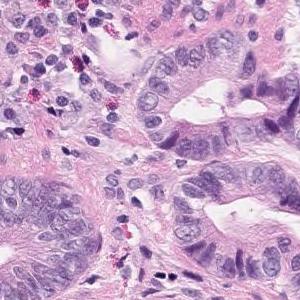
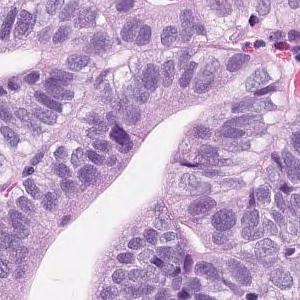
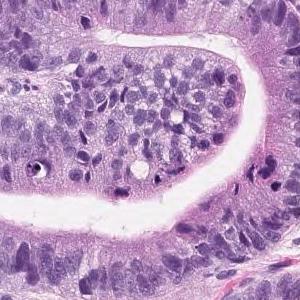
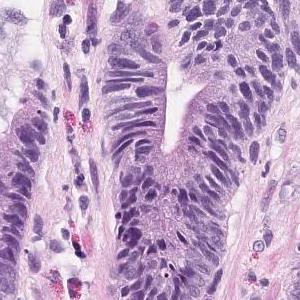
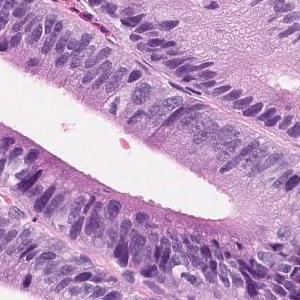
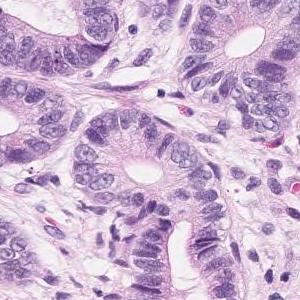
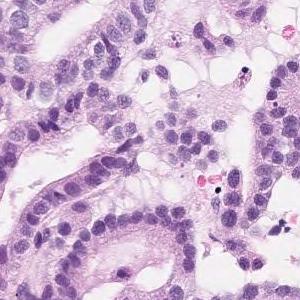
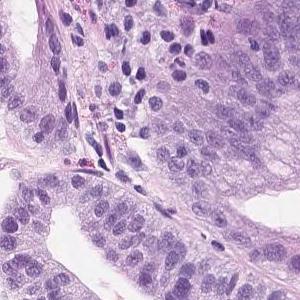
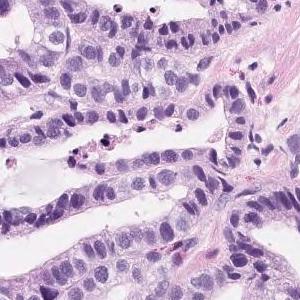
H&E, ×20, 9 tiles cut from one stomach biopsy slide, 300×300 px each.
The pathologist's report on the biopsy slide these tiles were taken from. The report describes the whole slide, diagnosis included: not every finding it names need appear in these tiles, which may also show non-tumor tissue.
Short atypical epithelium with swelling of the nucleus shows proliferating, large and small irregular ductal structures. Well to moderately differentiated tubular adenocarcinoma (well differentiated tubular adenocarcinoma-moderately differentiated tubular adenocarcinoma)
Histological subtype: Well to moderately differentiated tubular adenocarcinoma.
